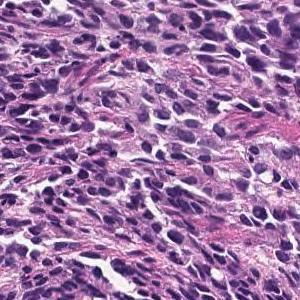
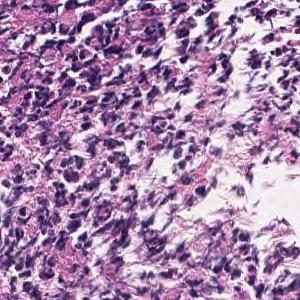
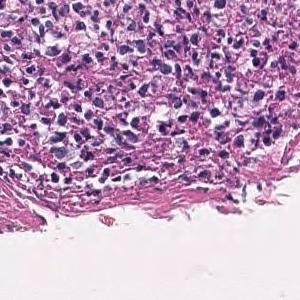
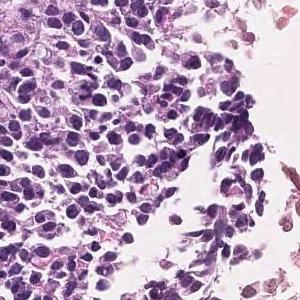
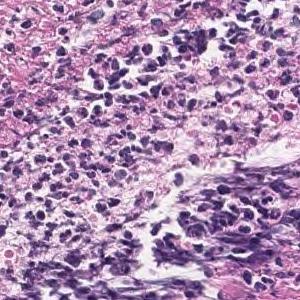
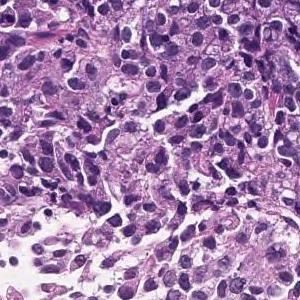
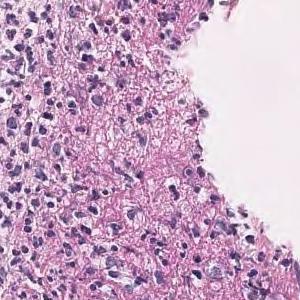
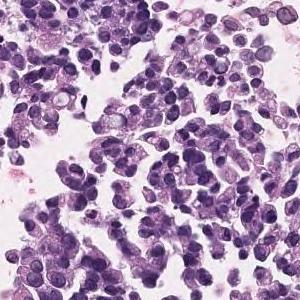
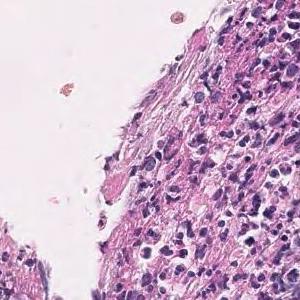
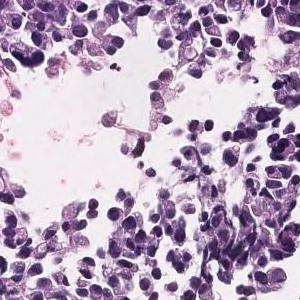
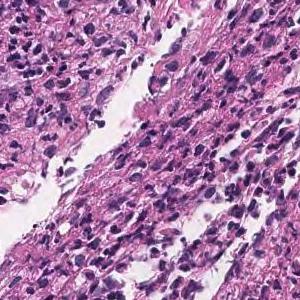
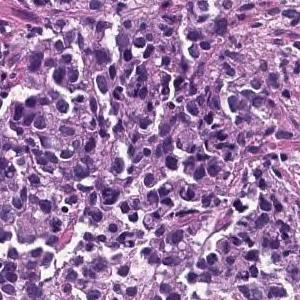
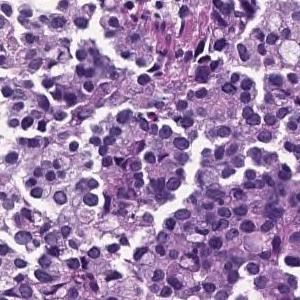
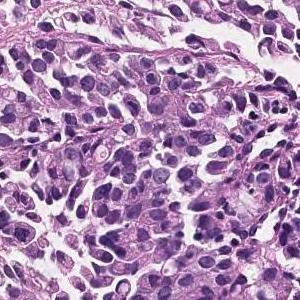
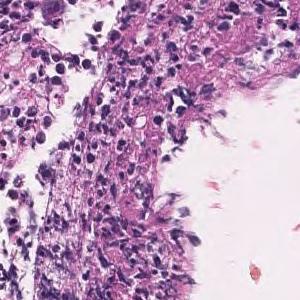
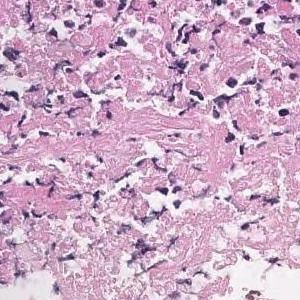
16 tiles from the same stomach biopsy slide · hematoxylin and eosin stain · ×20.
Pathology report for the biopsy slide these tiles were cut from. Both the report and the diagnosis are for the whole slide: these tiles need not show every feature named, and some of the tissue shown may not be tumor.
The superficial epithelium shows a large sheet-like shape, and some tumor tissue infiltrates with small irregular ducts. Poorly differentiated adenocarcinoma, solid-type
Classified as poorly differentiated adenocarcinoma, solid type. This name comes from the Japanese Classification of Gastric Carcinoma; the WHO 2019 classification calls it tubular adenocarcinoma, poorly differentiated.
